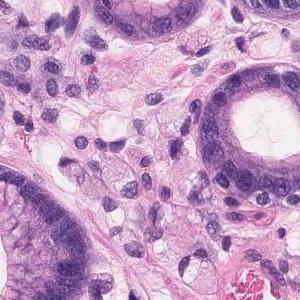
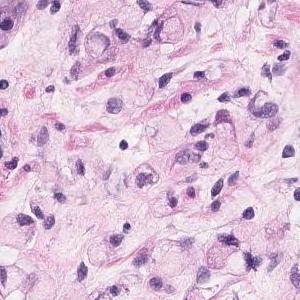
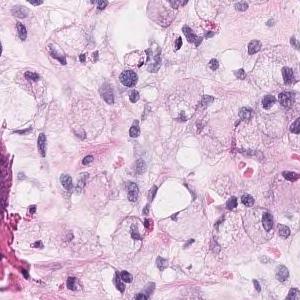
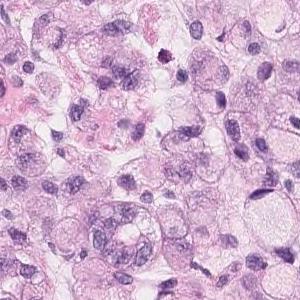
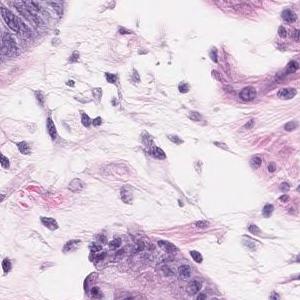
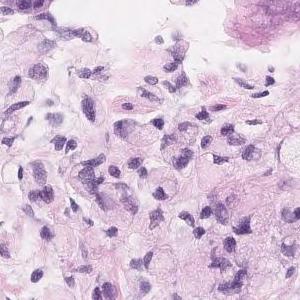
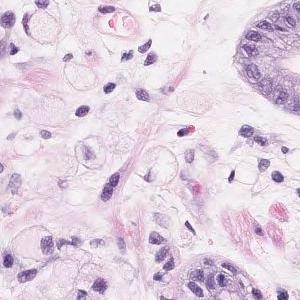
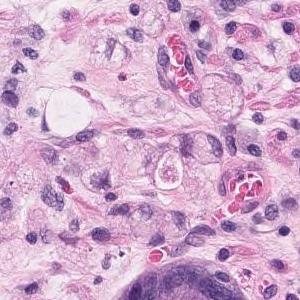
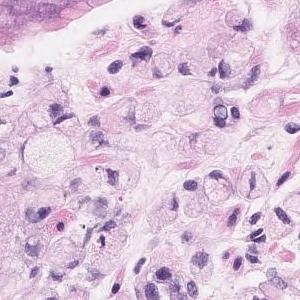
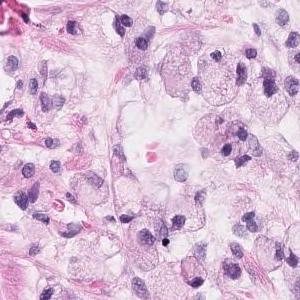
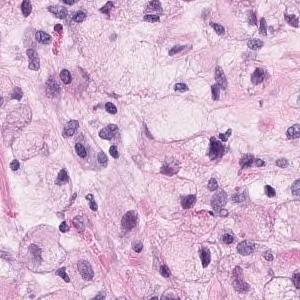
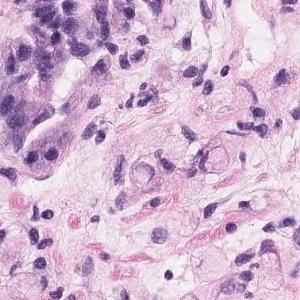
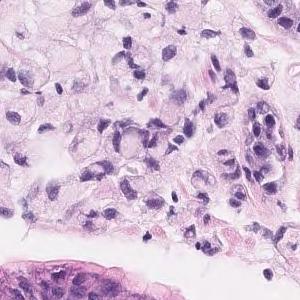
×20, H&E stain, 13 tiles from the same stomach biopsy slide, each 300 × 300 pixels.
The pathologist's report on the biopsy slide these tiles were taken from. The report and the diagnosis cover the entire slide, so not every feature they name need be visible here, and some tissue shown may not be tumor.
In the lamina propria, atypical epithelial cells that store mucus and lack connectivity proliferate diffusely. Adenocarcinoma. Signet ring cell carcinoma.
